8 patches cut from one gastric biopsy slide; 300×300 px each; hematoxylin and eosin stain; scanned at ×20.
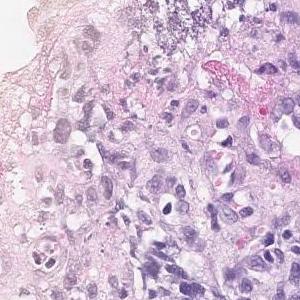
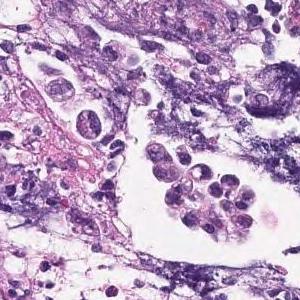
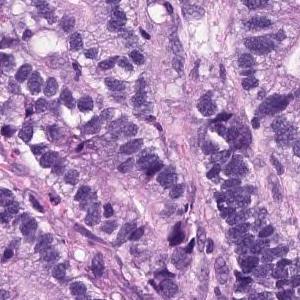
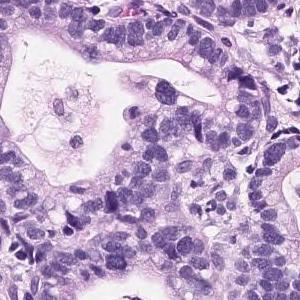
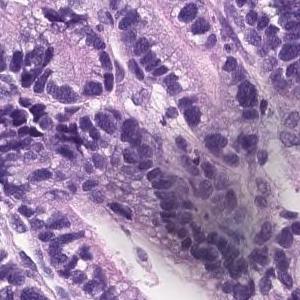
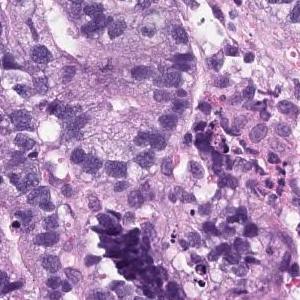
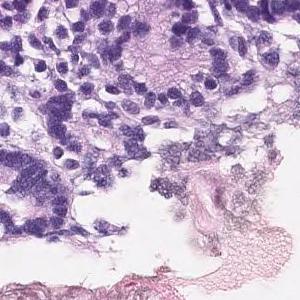
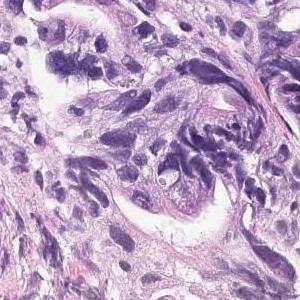
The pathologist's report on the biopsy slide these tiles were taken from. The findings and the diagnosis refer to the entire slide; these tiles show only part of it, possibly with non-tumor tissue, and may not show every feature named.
Hyperplasia of atypical epithelial cells with swelling of the nucleus is observed. Moderately diffentiated tubular adenocarcinoma
Subtype: Moderately differentiated tubular adenocarcinoma.
